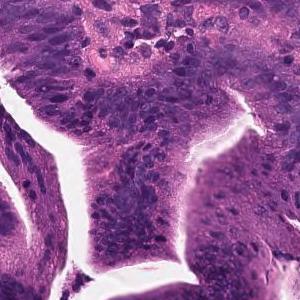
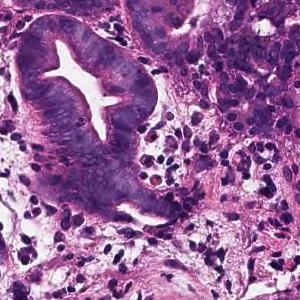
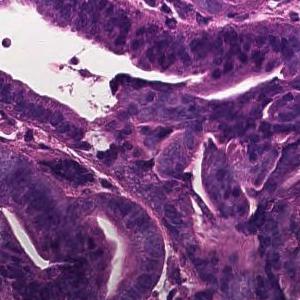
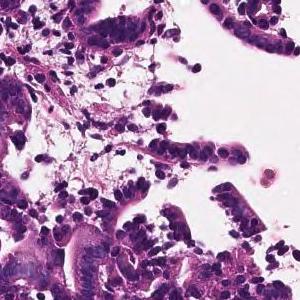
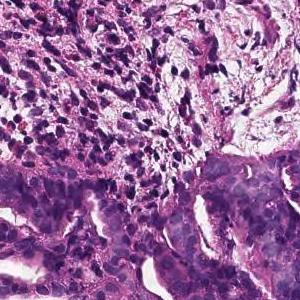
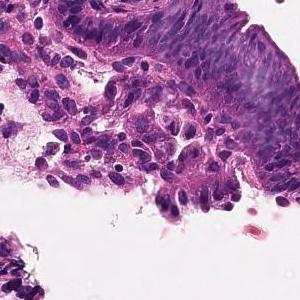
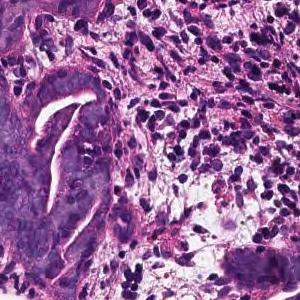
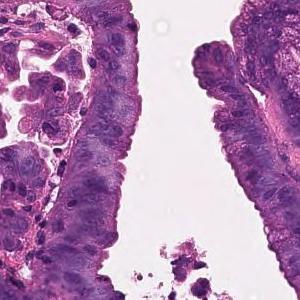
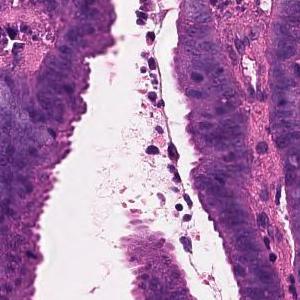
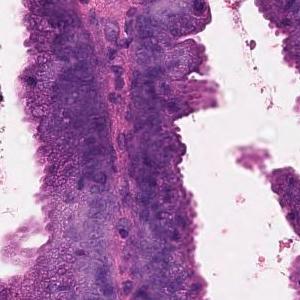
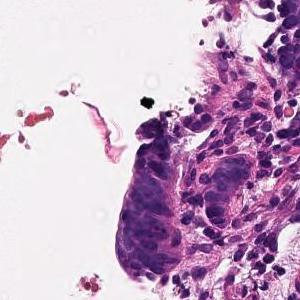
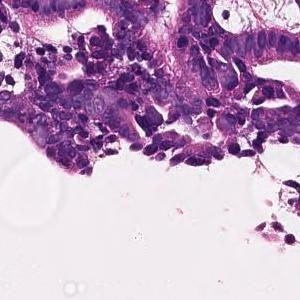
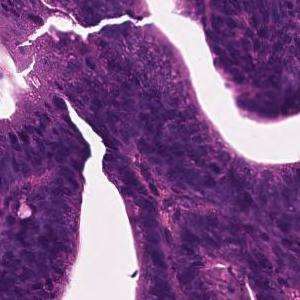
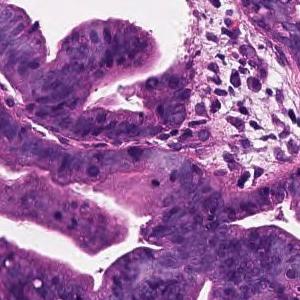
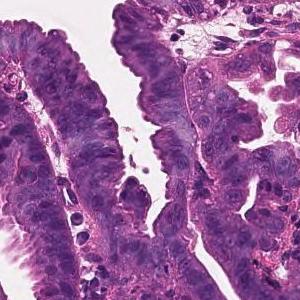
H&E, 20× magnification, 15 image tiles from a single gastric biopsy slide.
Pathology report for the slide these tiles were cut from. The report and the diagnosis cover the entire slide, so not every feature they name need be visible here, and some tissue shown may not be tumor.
Tumor cells are large, highly columnar, large club-shaped nuclei, and are associated with chromatin aggregation. Papillary adenocarcinoma.
